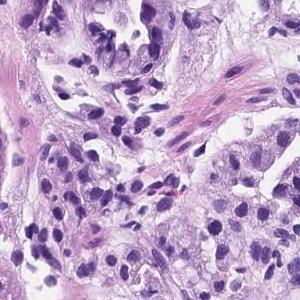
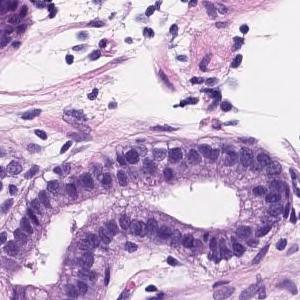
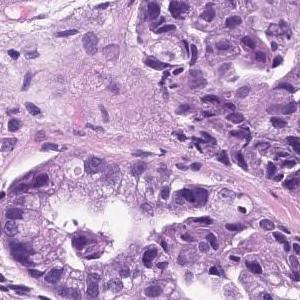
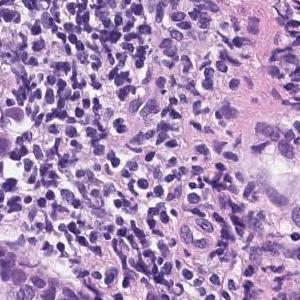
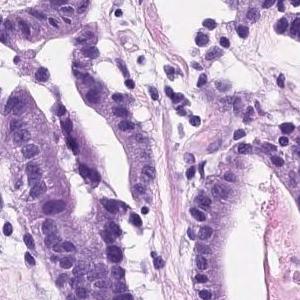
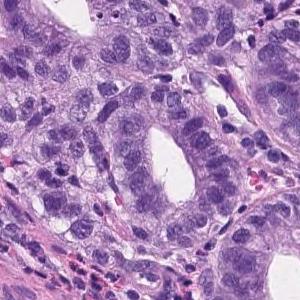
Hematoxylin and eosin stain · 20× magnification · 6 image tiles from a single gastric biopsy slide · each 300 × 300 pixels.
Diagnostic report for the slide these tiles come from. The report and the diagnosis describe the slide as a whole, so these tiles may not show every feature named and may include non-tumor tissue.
Tumor tissue consisting of medium-sized and irregular ducts is observed infiltrating in the superficial epithelium. Tumor cells are highly columnar, with nuclei aligned basolaterally and polarized. Well differentiated tubular adenocarcinoma.
